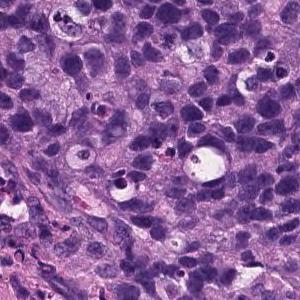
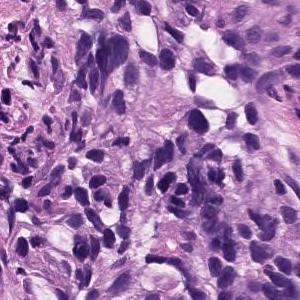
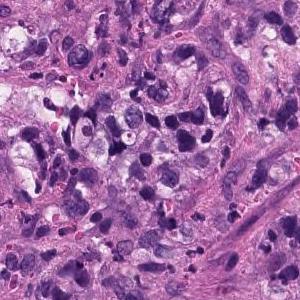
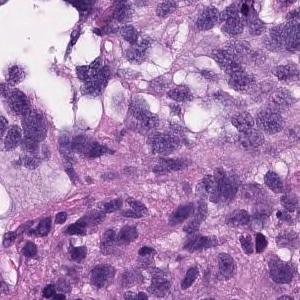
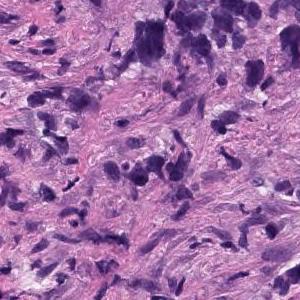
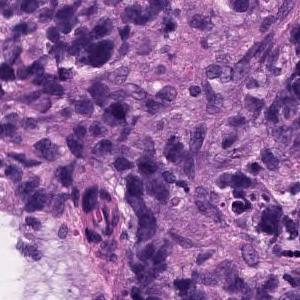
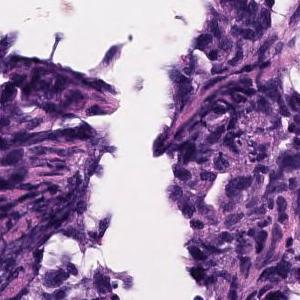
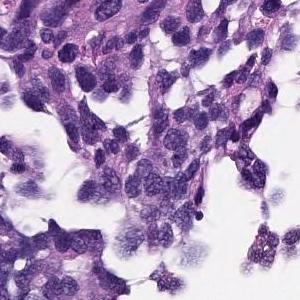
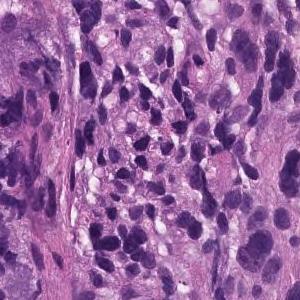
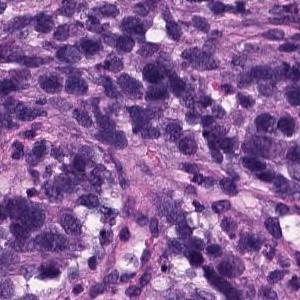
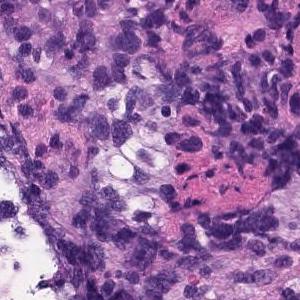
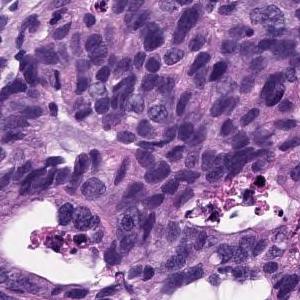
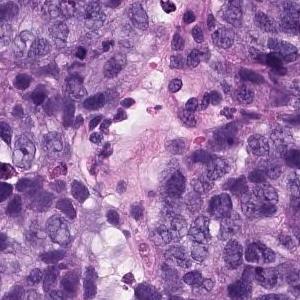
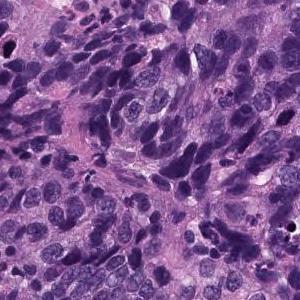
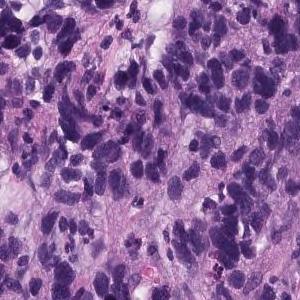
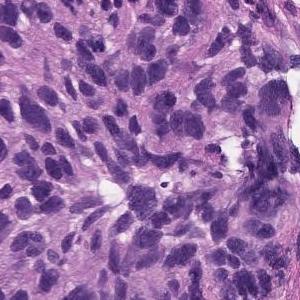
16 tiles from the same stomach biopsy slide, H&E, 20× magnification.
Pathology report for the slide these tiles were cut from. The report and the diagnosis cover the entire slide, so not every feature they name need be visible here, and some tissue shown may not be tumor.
Atypical l cells with atypical nuclei under the mucosa growing in isolation and scattered. Poorly differentiated adenocarcinoma (poorly differentiated adenocarcinoma, non-solid type)
Subtype: Poorly differentiated adenocarcinoma, non-solid type.
"Non-solid type" is a category of the Japanese Classification of Gastric Carcinoma.
